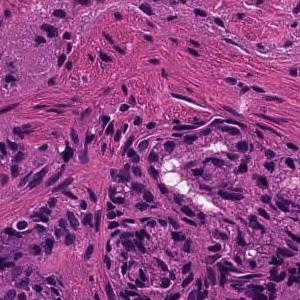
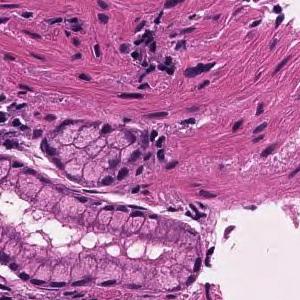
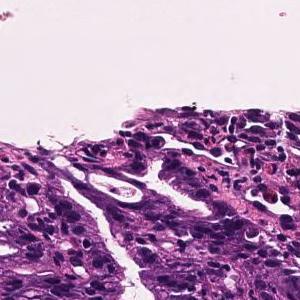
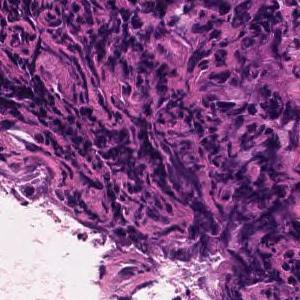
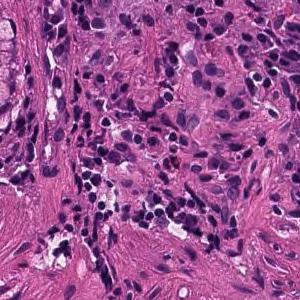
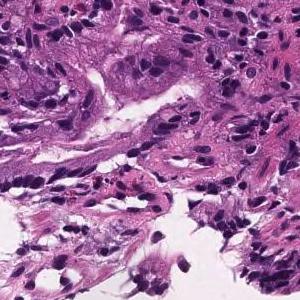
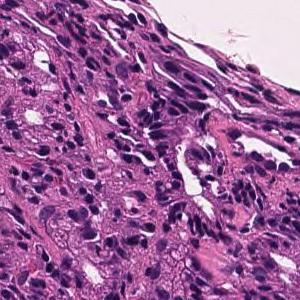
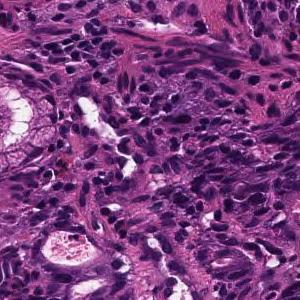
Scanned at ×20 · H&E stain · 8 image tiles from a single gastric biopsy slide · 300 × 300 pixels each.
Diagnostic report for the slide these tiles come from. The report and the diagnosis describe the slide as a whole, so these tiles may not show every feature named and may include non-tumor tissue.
In the superficial epithelium, tumor tissue that invades by forming medium-sized to small, irregular ducts is observed. moderately differentiated tubular adenocarcinoma.
